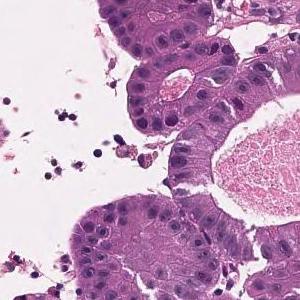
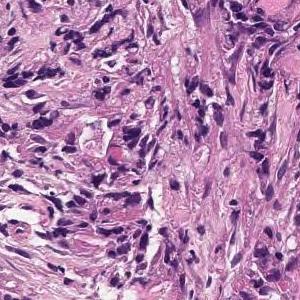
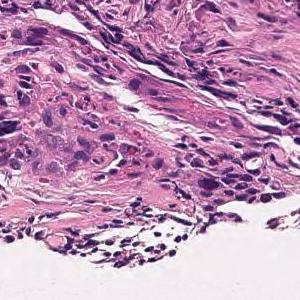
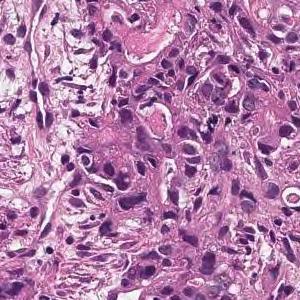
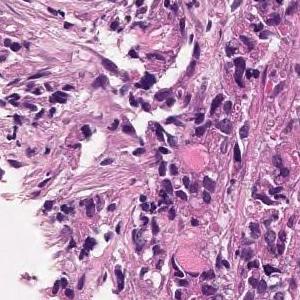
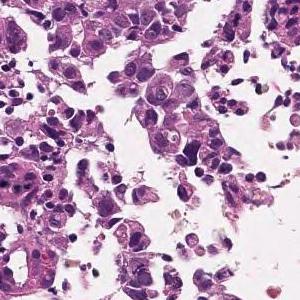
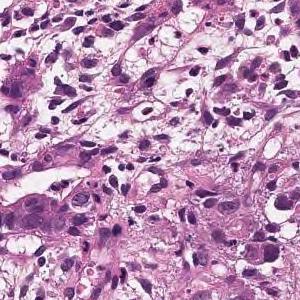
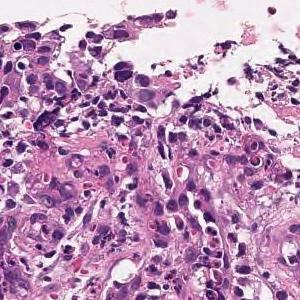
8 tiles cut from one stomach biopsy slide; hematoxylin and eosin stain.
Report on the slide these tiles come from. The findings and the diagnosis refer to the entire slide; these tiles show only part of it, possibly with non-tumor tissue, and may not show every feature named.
Tumor tissue consisting of cord-like or small, irregular glandular ducts fused and infiltrated is observed in the superficial epithelium. Poorly differentiated adenocarcinoma, non-solid type
The term "non-solid type" comes from the Japanese Classification of Gastric Carcinoma.
